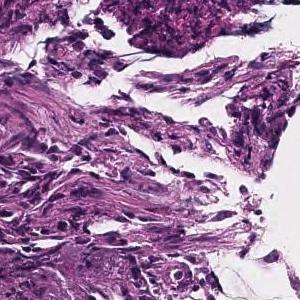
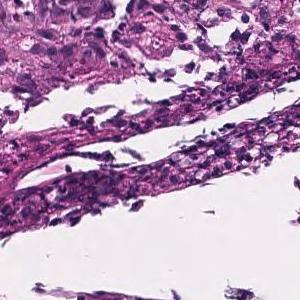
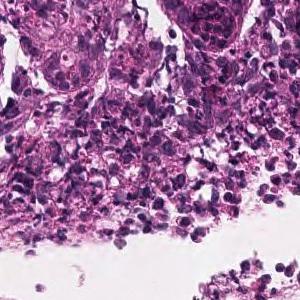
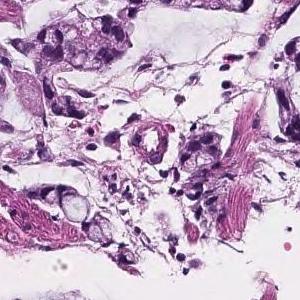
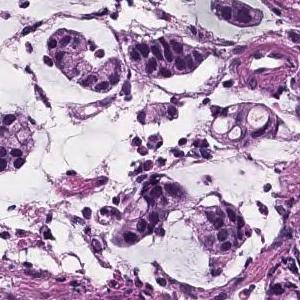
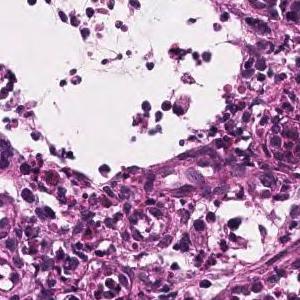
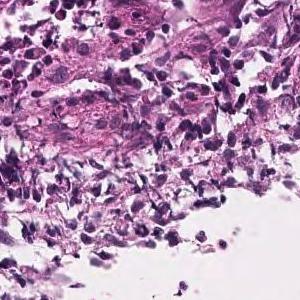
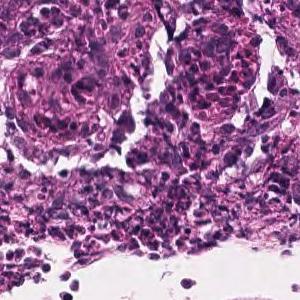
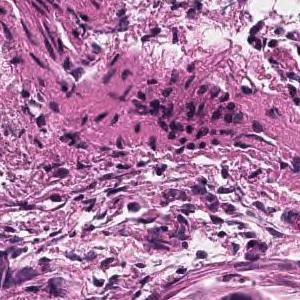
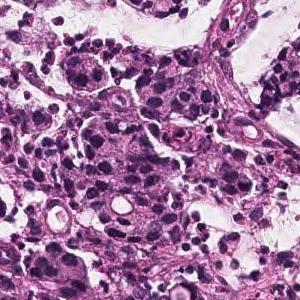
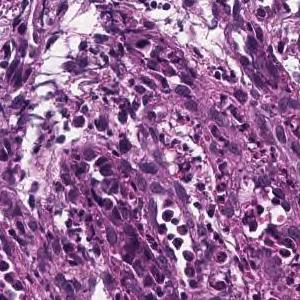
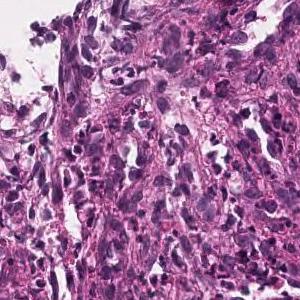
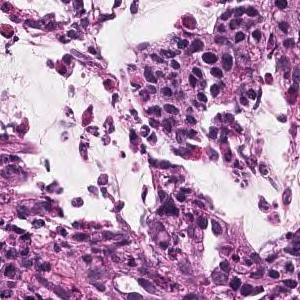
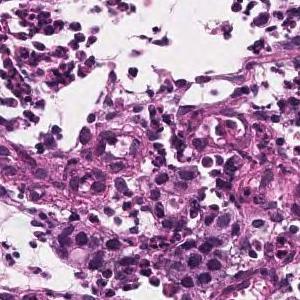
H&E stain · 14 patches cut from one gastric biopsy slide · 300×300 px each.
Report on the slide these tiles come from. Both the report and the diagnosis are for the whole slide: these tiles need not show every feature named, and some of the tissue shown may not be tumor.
Atypical epithelial cells form obscure ductal structures or small solid follicles, and tumor tissue that proliferates invasively with proliferation of inflammatory granulation tissue is observed. Mucinous adenocarcinoma .
